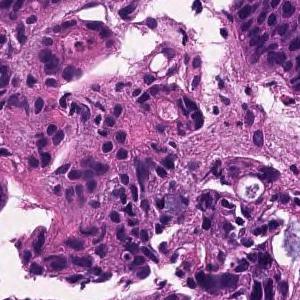
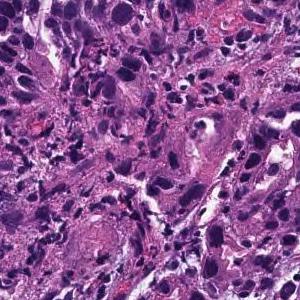
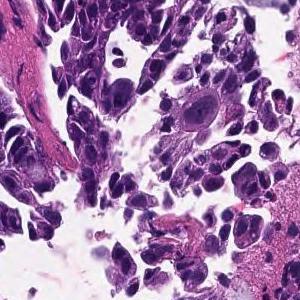
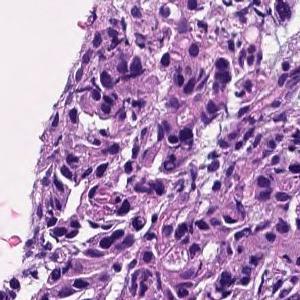
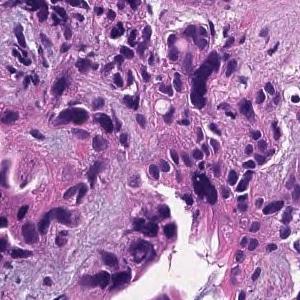
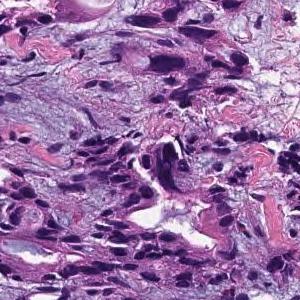
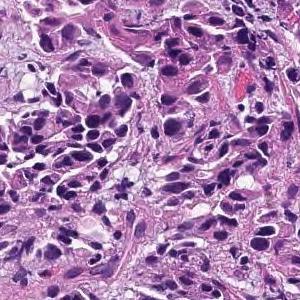
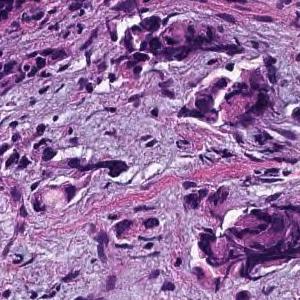
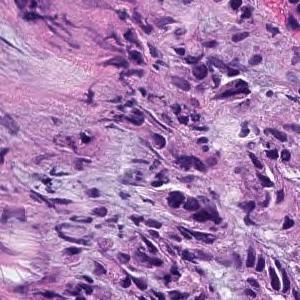
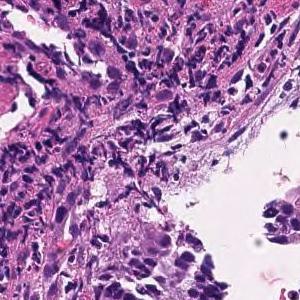
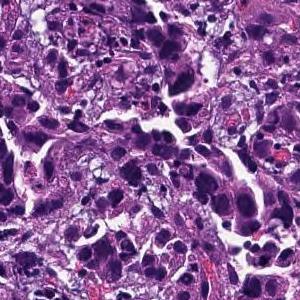
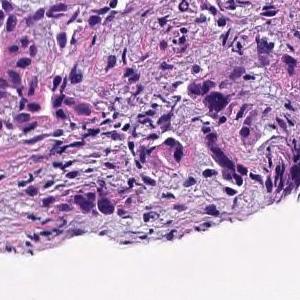
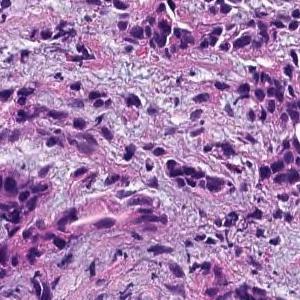
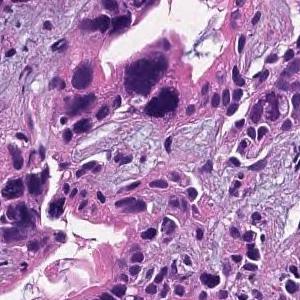
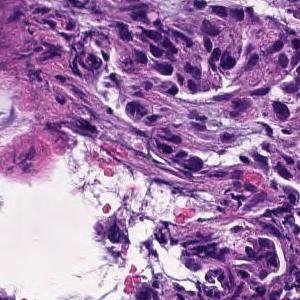
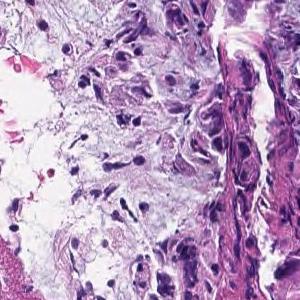
16 patches cut from one gastric biopsy slide · 300 × 300 pixels each · H&E · ×20.
Diagnostic report for the slide these tiles come from. What the report and the diagnosis say applies to the whole slide; these tiles may miss some of the features named and may include tissue that is not tumor.
Tumor tissue consisting of cord-like or small, irregular glandular ducts fused and infiltrated is observed in the superficial epithelium. Poorly differentiated adenocarcinoma, non-solid type
The term "non-solid type" comes from the Japanese Classification of Gastric Carcinoma.
